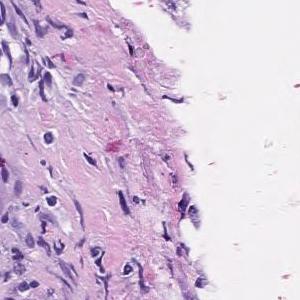
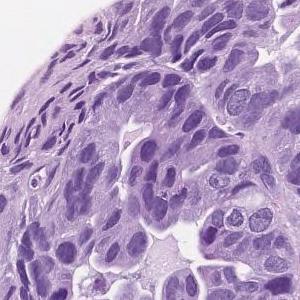
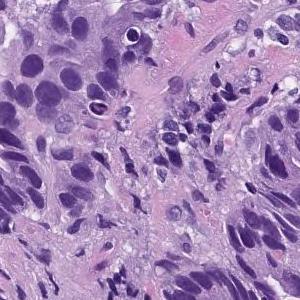
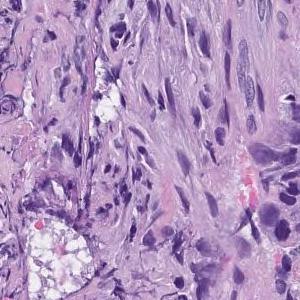
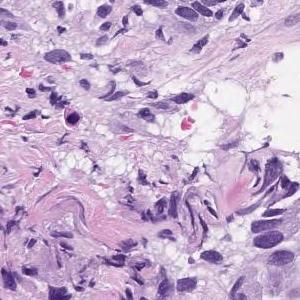
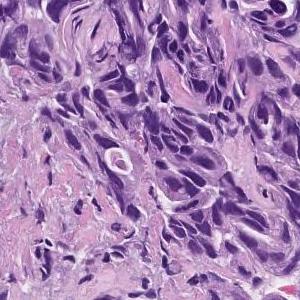
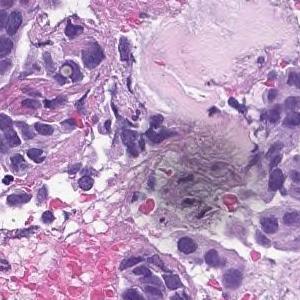
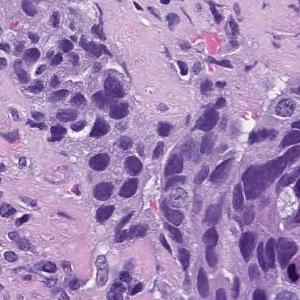
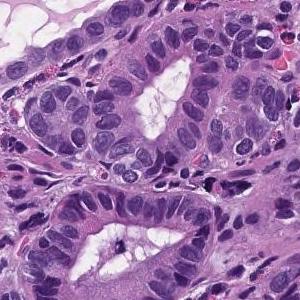
H&E · ×20 · 9 tiles cut from one stomach biopsy slide.
Report on the slide these tiles come from. The report and the diagnosis cover the entire slide, so not every feature they name need be visible here, and some tissue shown may not be tumor.
In the superficial epithelium, tumor tissue that invades by forming medium-sized to small, irregular ducts is observed. moderately differentiated tubular adenocarcinoma.
